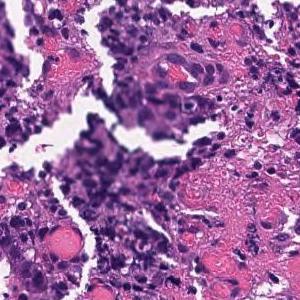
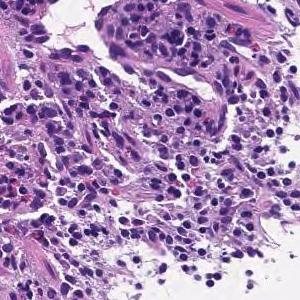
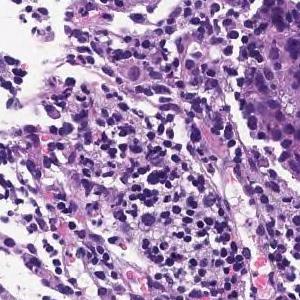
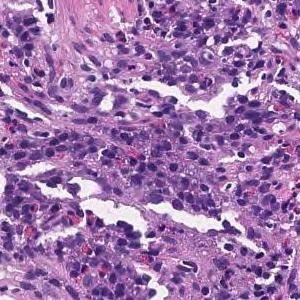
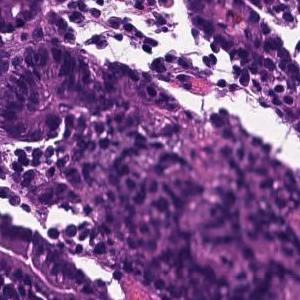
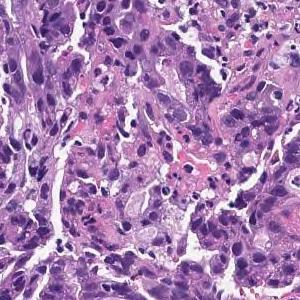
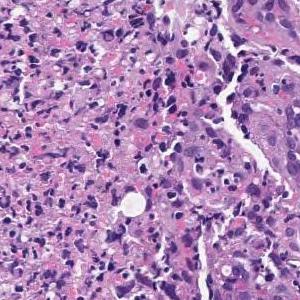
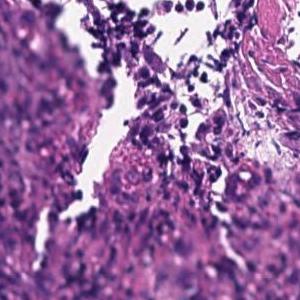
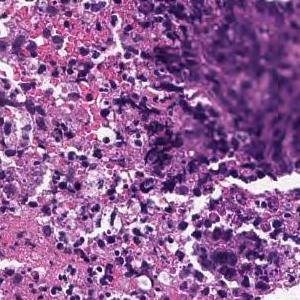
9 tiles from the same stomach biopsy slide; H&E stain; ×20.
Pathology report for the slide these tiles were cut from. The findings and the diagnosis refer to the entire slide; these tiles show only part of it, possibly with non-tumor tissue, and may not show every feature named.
On the superficial epithelium, tumor tissue consisting of large irregular glandular ducts partially fused and infiltrated is observed. Well to moderately differentiated tubular adenocarcinoma (well differentiated tubular adenocarcinoma, moderately differentiated tubular adenocarcinoma)
Histologic type: Well to moderately differentiated tubular adenocarcinoma.
